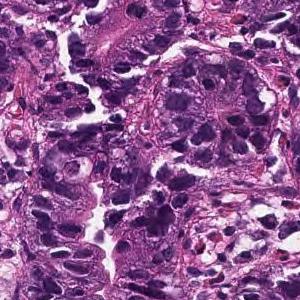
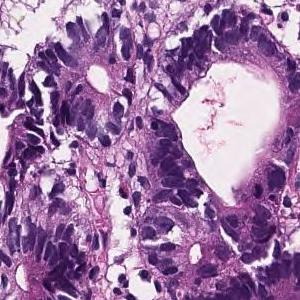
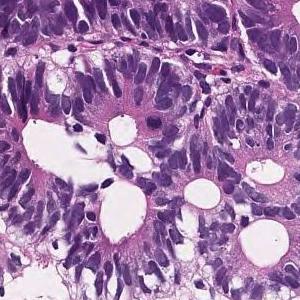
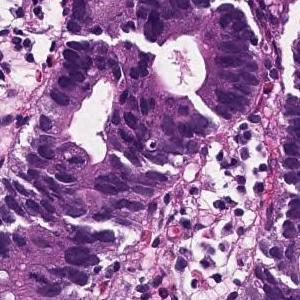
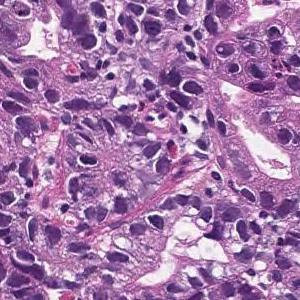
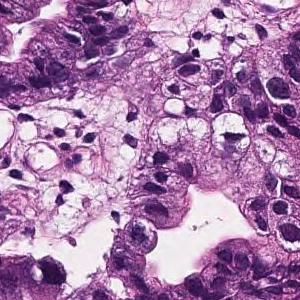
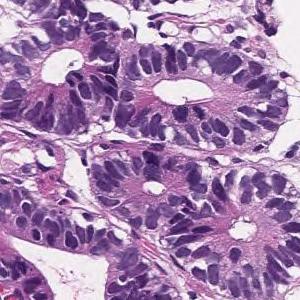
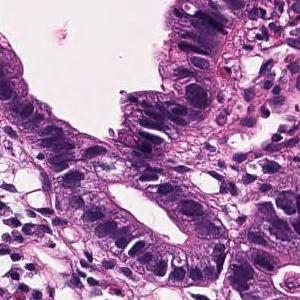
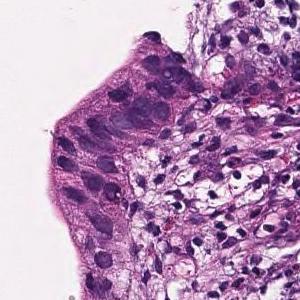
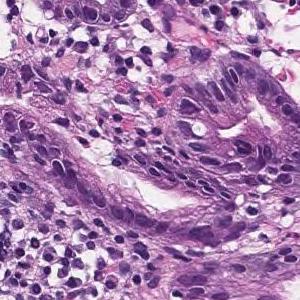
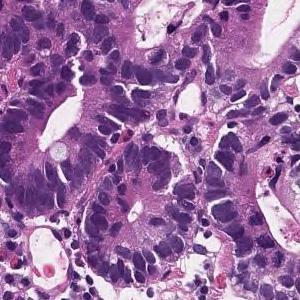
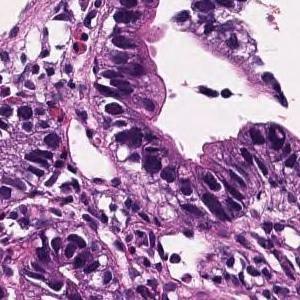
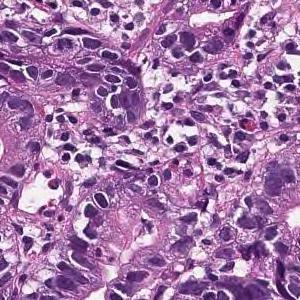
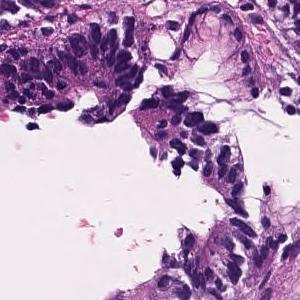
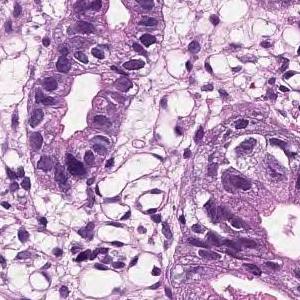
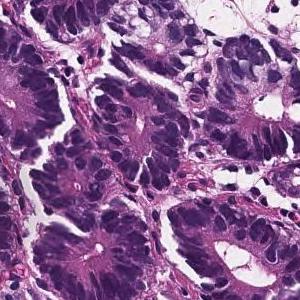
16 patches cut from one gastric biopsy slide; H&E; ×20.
Diagnostic report for the slide these tiles come from. The report and the diagnosis describe the slide as a whole, so these tiles may not show every feature named and may include non-tumor tissue.
On the superficial epithelium, tumor tissue consisting of large, irregular glandular ducts partially fused and infiltrated is observed. Well to moderately differentiated tubular adenocarcinoma (well differentiated tubular adenocarcinoma, moderately differentiated tubular adenocarcinoma)
Subtype: Well to moderately differentiated tubular adenocarcinoma.
